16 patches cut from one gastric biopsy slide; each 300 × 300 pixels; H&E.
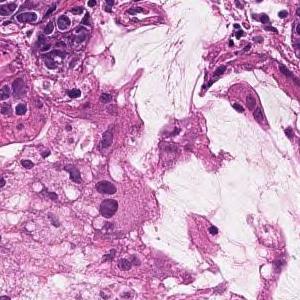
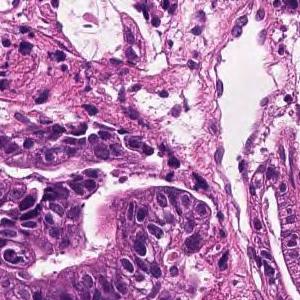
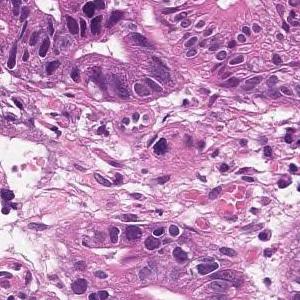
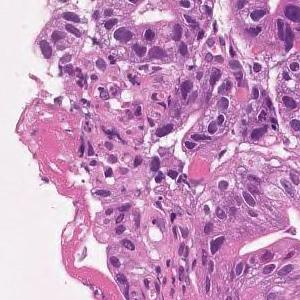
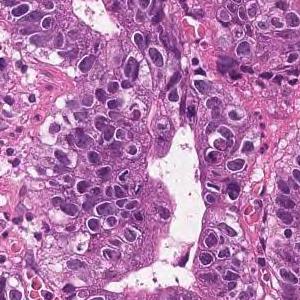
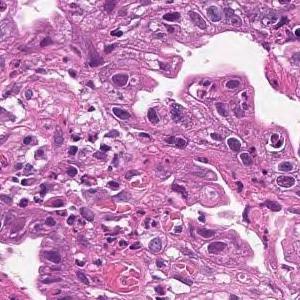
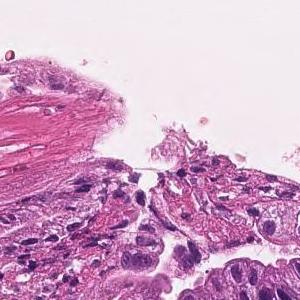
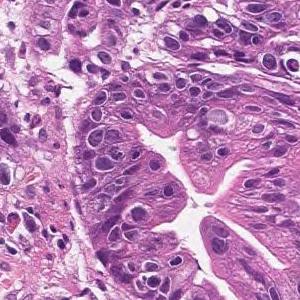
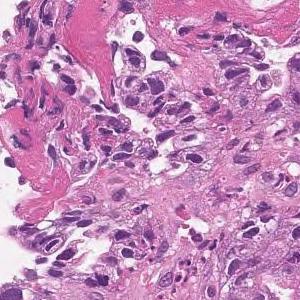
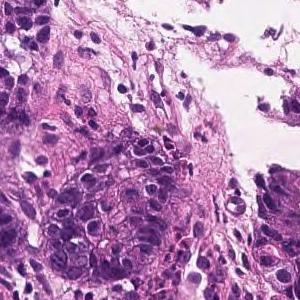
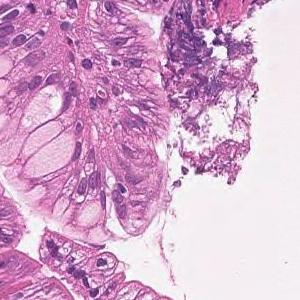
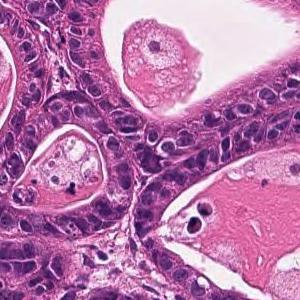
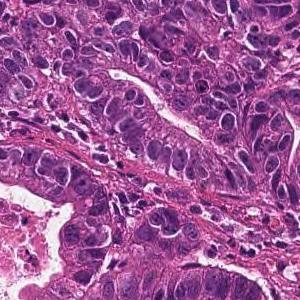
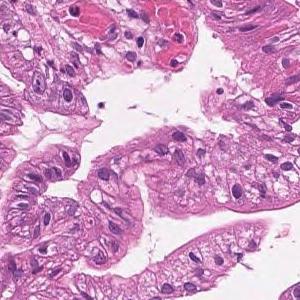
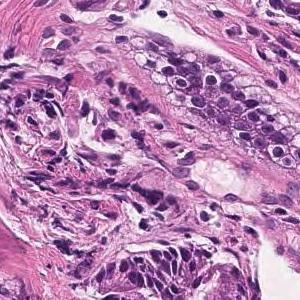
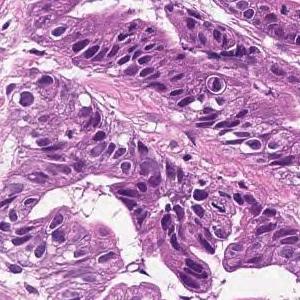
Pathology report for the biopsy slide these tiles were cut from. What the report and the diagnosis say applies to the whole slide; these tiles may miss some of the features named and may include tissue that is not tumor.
In the superficial epithelium, tumor tissue that invades by forming medium-sized to small, irregular ducts is observed. Well differentiated tubular adenocarcinoma.
